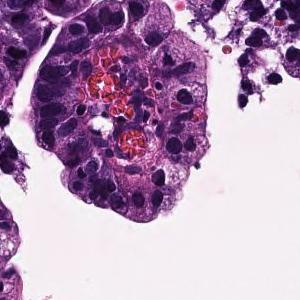
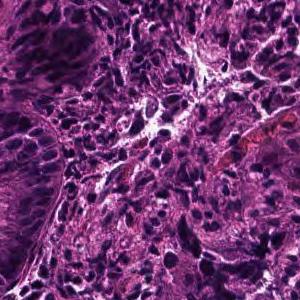
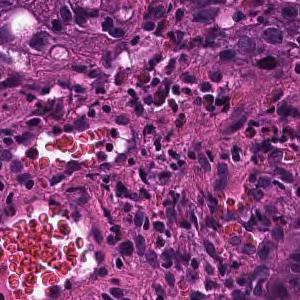
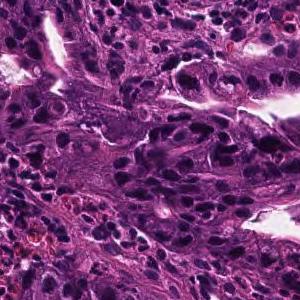
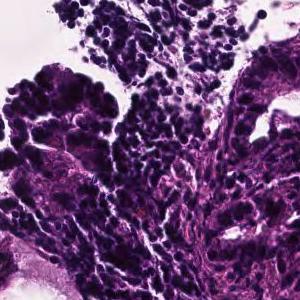
5 image tiles from a single gastric biopsy slide; 300 × 300 pixels each; hematoxylin and eosin stain.
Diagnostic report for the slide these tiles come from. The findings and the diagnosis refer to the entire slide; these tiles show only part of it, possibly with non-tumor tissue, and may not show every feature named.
In the superficial epithelium, tumor tissue that invades by forming medium-sized to small, irregular ducts is observed. moderately differentiated tubular adenocarcinoma.
